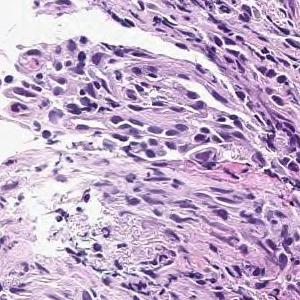
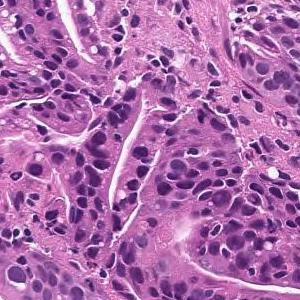
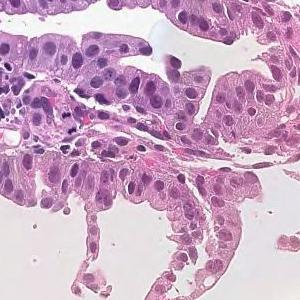
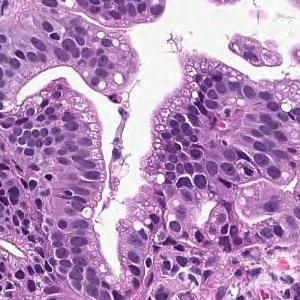
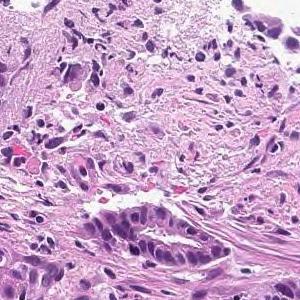
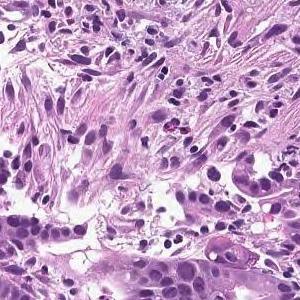
6 image tiles from a single gastric biopsy slide; H&E; scanned at ×20.
Pathology report for the biopsy slide these tiles were cut from. The findings and the diagnosis refer to the entire slide; these tiles show only part of it, possibly with non-tumor tissue, and may not show every feature named.
On the superficial epithelium, tumor tissue that infiltrates by forming medium-sized papillary or small irregular ducts is observed. Papillary adenocarcinoma
